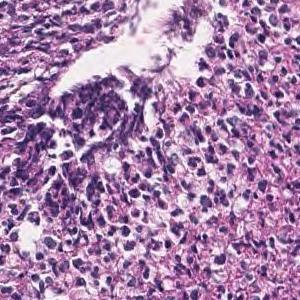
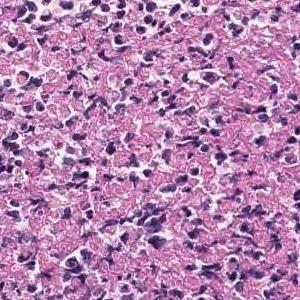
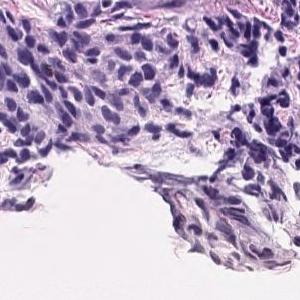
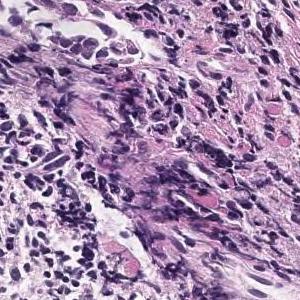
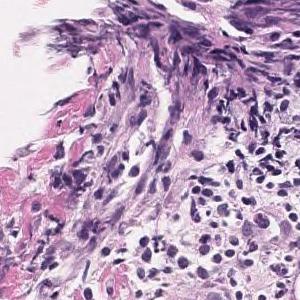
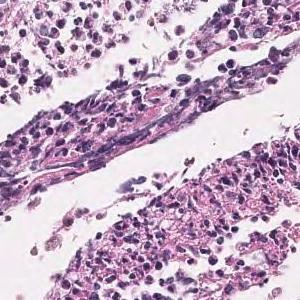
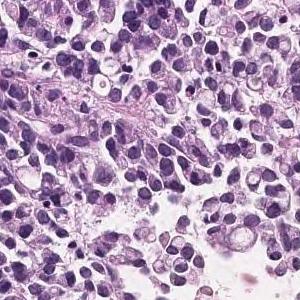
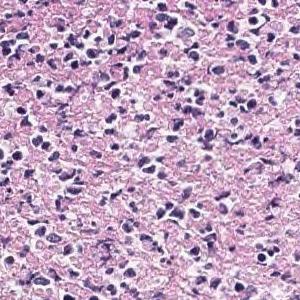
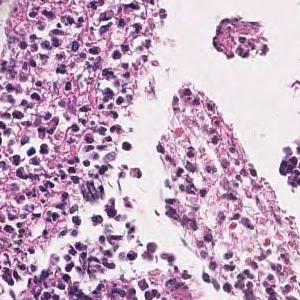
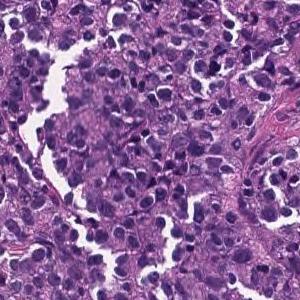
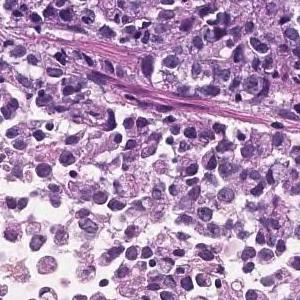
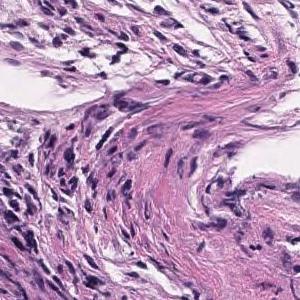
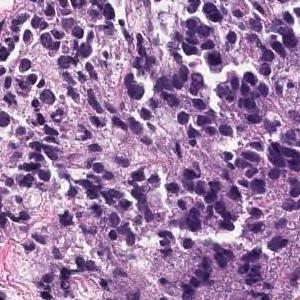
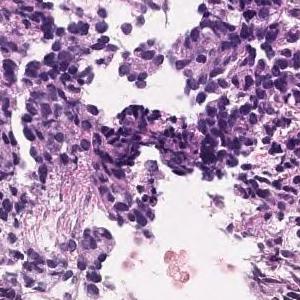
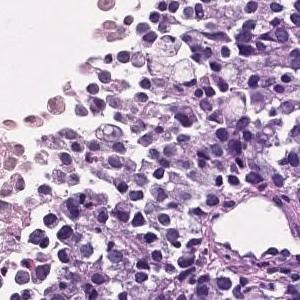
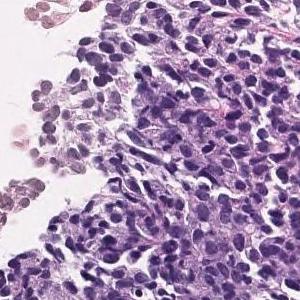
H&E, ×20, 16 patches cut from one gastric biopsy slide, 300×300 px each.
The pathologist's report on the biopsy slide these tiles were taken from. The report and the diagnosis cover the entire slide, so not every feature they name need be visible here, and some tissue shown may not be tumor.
The superficial epithelium shows a large sheet-like shape, and some tumor tissue infiltrates with small irregular ducts. Poorly differentiated adenocarcinoma, solid-type
Classified as poorly differentiated adenocarcinoma, solid type, a category of the Japanese Classification of Gastric Carcinoma; in the WHO 2019 classification it is tubular adenocarcinoma, poorly differentiated.
